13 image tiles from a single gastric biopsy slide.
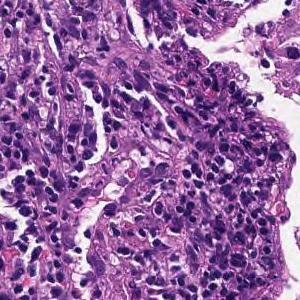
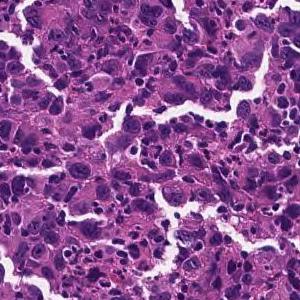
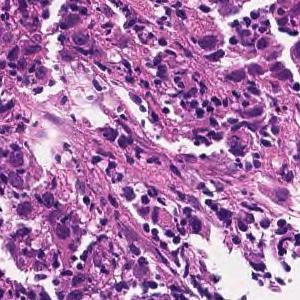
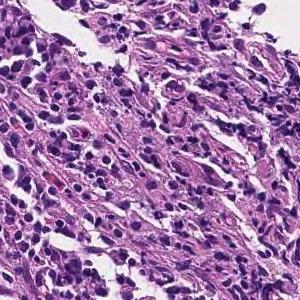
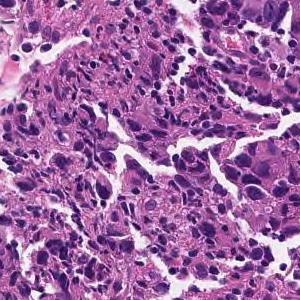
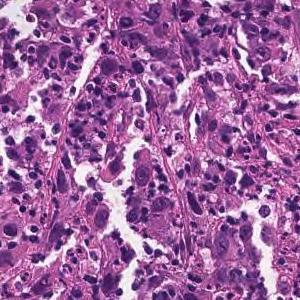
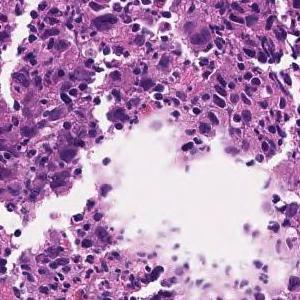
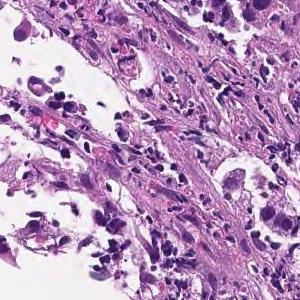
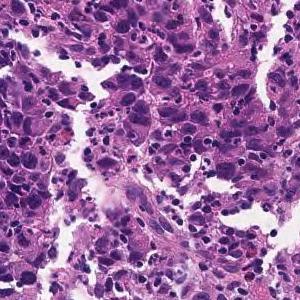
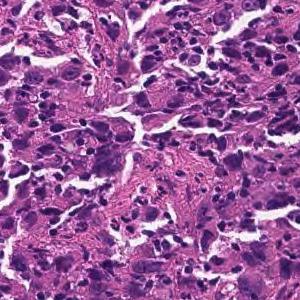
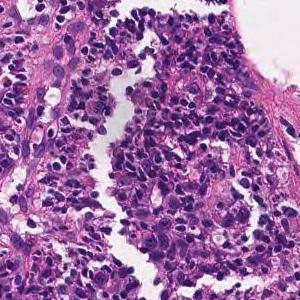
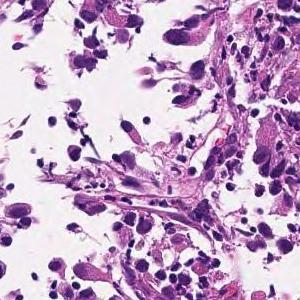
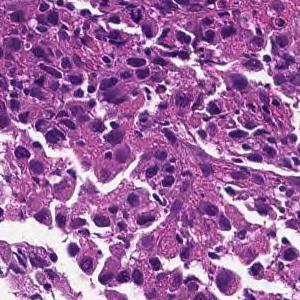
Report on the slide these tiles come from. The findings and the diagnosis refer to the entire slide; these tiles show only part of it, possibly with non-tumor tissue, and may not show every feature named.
The superficial epithelium shows a large sheet-like shape, and some tumor tissue infiltrates with small irregular ducts. Poorly differentiated adenocarcinoma, solid-type (poorly differentiated adenocarcinoma, solid type)
Histologic type: Poorly differentiated adenocarcinoma, solid type, a category of the Japanese Classification of Gastric Carcinoma; in the WHO 2019 classification it is tubular adenocarcinoma, poorly differentiated.
